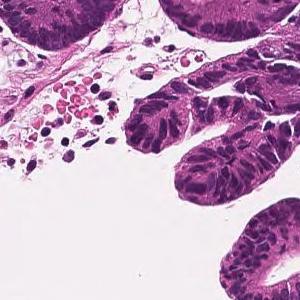
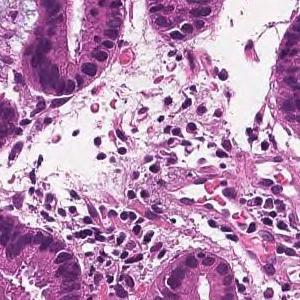
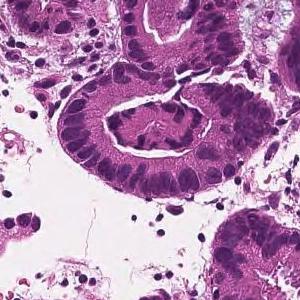
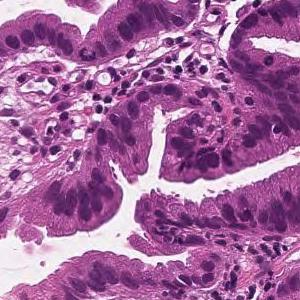
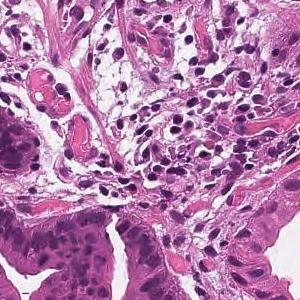
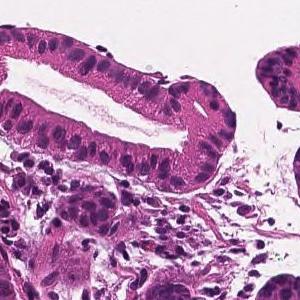
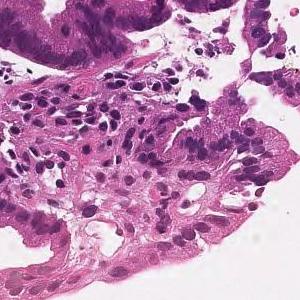
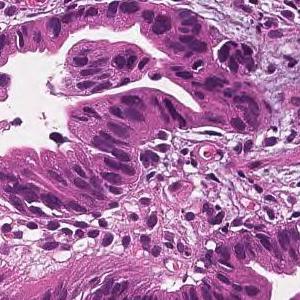
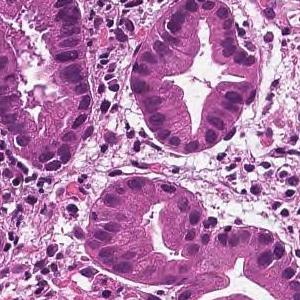
×20; H&E stain; 9 patches cut from one gastric biopsy slide.
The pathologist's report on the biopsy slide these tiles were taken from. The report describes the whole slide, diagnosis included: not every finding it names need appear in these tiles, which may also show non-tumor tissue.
From the superficial epithelium to the muscularis mucosae, tumor tissue consisting of medium-sized and irregular glandular ducts infiltrating is observed. Well differentiated tubular adenocarcinoma
